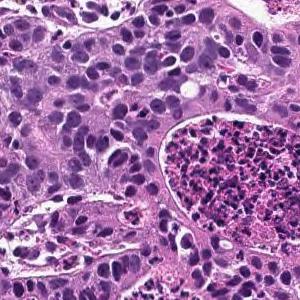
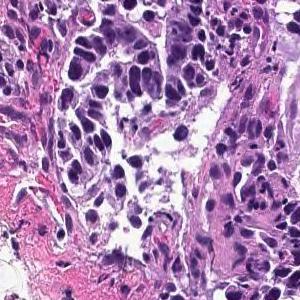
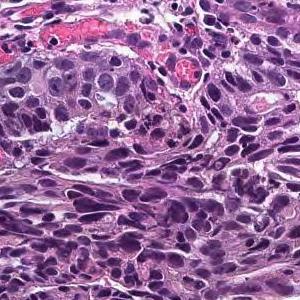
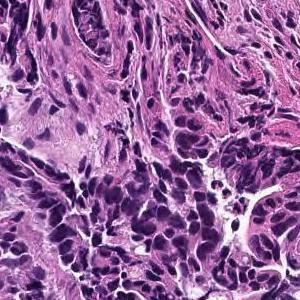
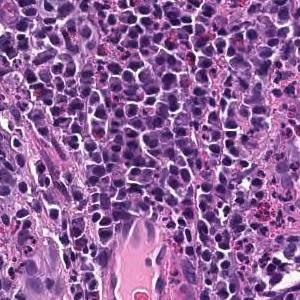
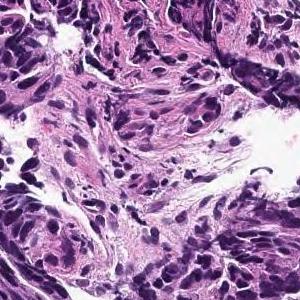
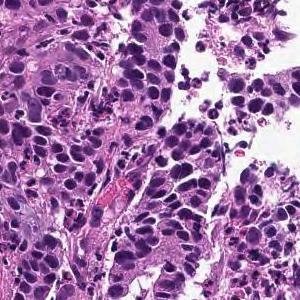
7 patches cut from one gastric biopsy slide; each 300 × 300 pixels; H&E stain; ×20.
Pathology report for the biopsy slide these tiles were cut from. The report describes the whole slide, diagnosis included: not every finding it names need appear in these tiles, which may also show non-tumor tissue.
In the superficial epithelium, tumor tissue that invades by forming medium-sized to small, irregular ducts is observed. moderately differentiated tubular adenocarcinoma.
